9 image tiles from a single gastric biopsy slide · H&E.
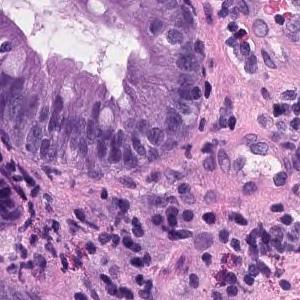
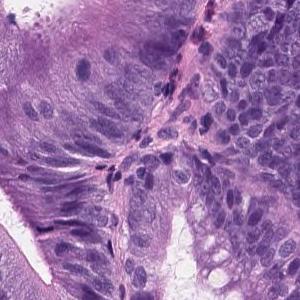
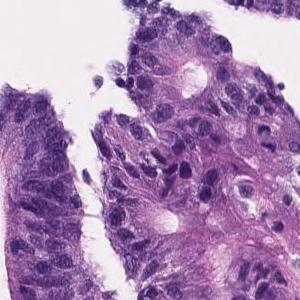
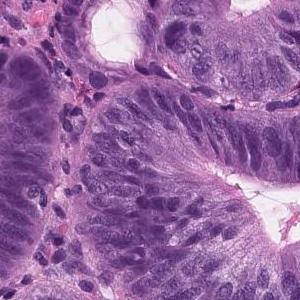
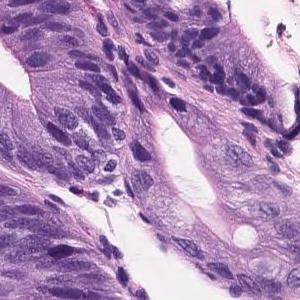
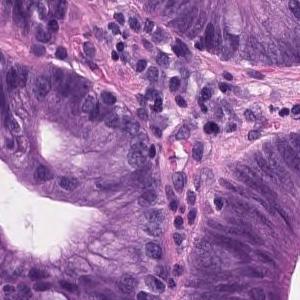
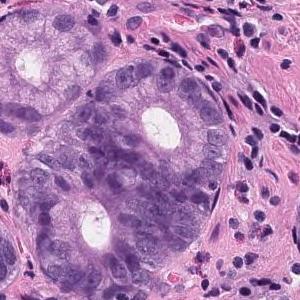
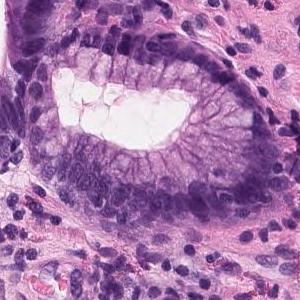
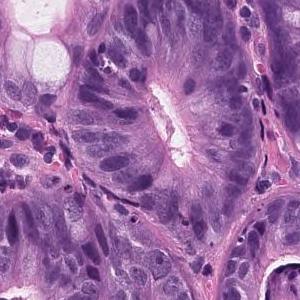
Diagnostic report for the slide these tiles come from. Both the report and the diagnosis are for the whole slide: these tiles need not show every feature named, and some of the tissue shown may not be tumor.
On the superficial epithelium, tumor tissue with densely growing medium to large, round tubules is observed. Tumor cells are highly columnar, with nuclei aligned basolaterally and polarized. Well differentiated tubular adenocarcinoma
